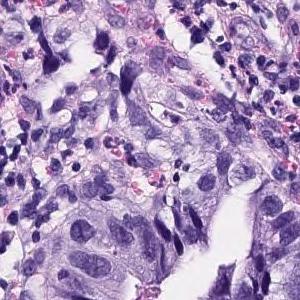
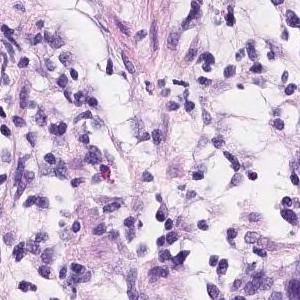
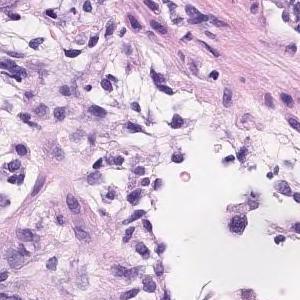
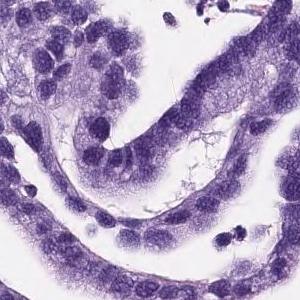
H&E, scanned at ×20, 4 image tiles from a single gastric biopsy slide.
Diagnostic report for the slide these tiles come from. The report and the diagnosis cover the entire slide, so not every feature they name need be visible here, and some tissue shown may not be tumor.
On the superficial epithelium, tumor tissue consisting of medium to small irregular tubules partially fused and proliferated is observed. moderately differentiated tubular adenocarcinoma
